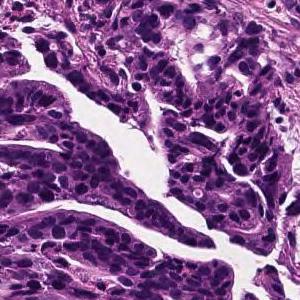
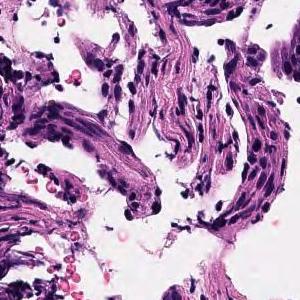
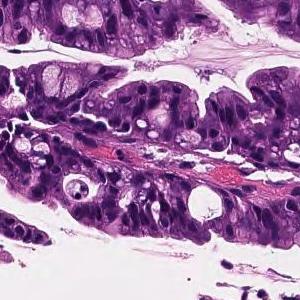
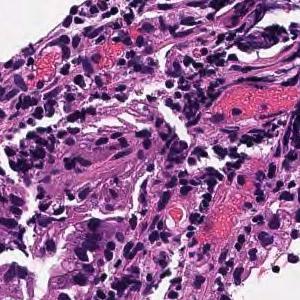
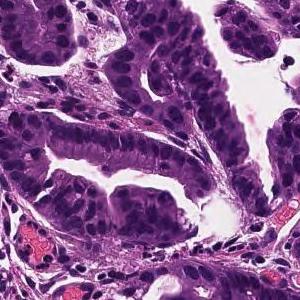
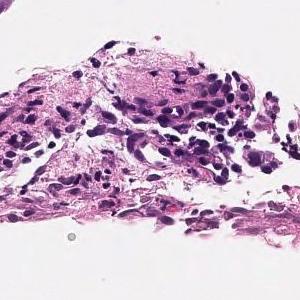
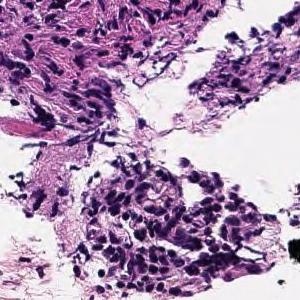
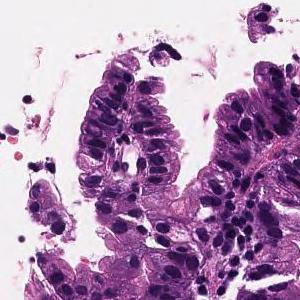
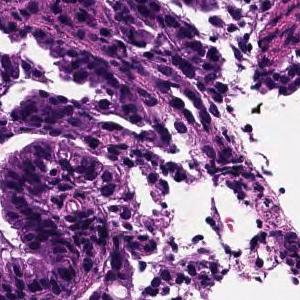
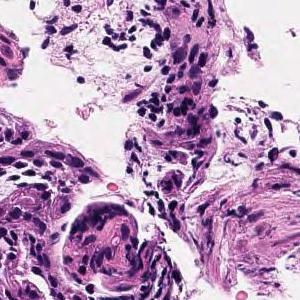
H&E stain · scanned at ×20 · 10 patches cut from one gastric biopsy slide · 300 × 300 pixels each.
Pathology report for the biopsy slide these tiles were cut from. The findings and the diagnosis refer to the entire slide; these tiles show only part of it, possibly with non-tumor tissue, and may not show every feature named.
On the superficial epithelium, tumor tissue that infiltrates by forming medium-sized papillary or small irregular ducts is observed. Papillary adenocarcinoma
